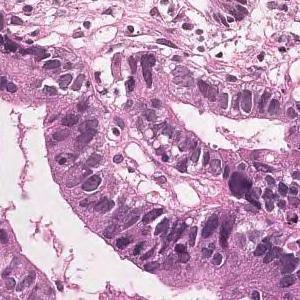
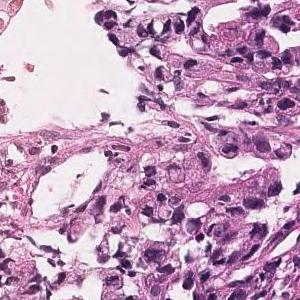
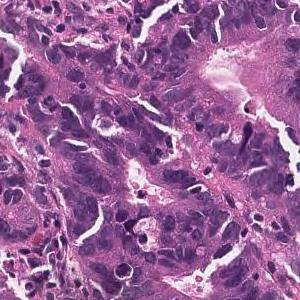
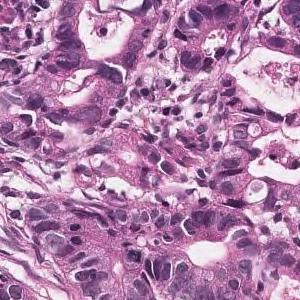
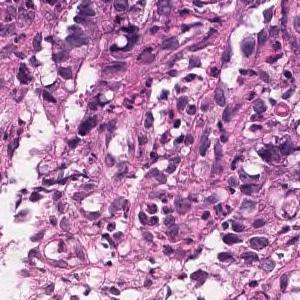
H&E stain · 5 tiles from the same stomach biopsy slide.
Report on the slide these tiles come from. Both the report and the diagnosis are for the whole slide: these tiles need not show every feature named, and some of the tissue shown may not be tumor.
In the superficial epithelium, tumor tissue is found in which medium-sized irregular gland ducts fuse with each other and infiltrate. moderately differentiated tubular adenocarcinoma
